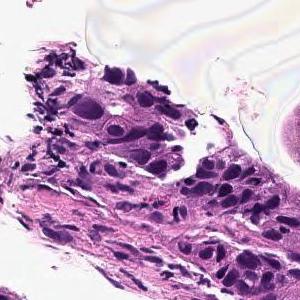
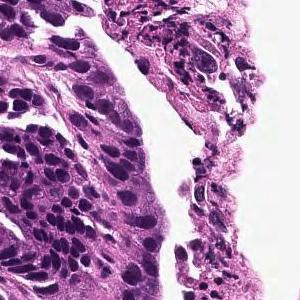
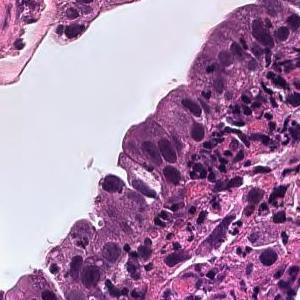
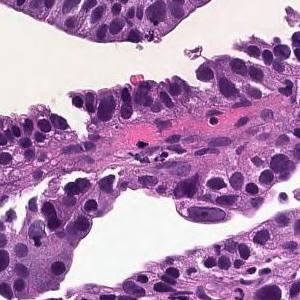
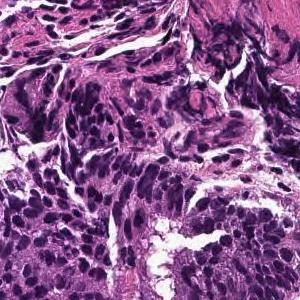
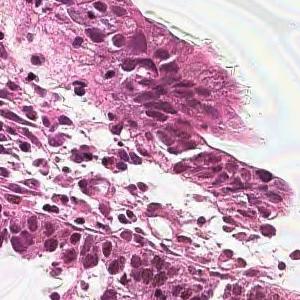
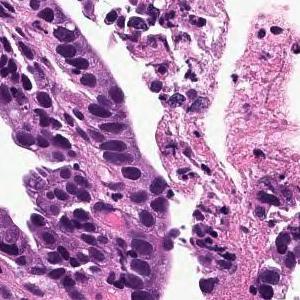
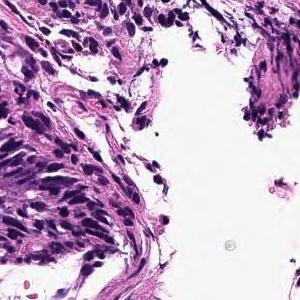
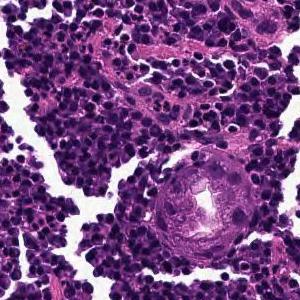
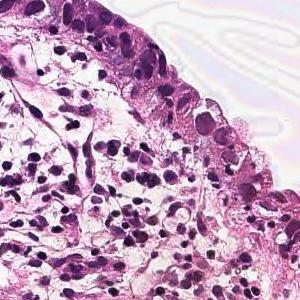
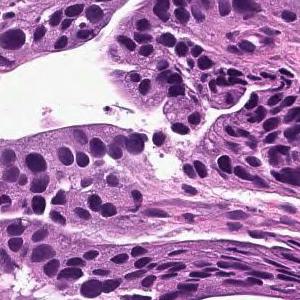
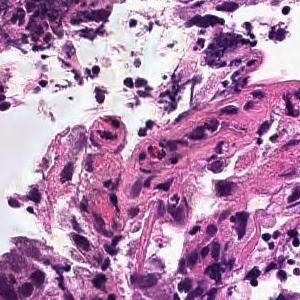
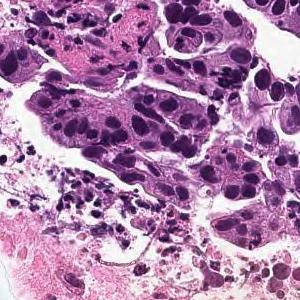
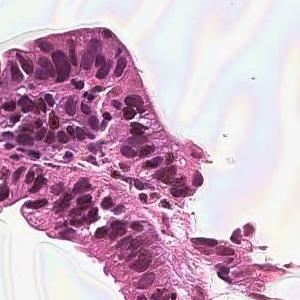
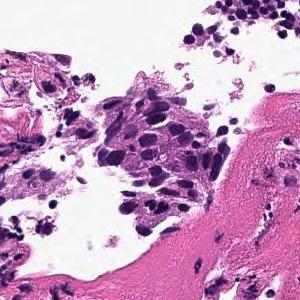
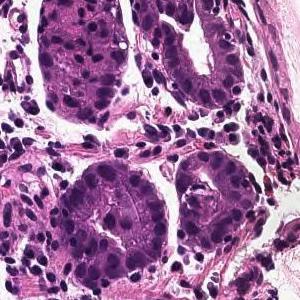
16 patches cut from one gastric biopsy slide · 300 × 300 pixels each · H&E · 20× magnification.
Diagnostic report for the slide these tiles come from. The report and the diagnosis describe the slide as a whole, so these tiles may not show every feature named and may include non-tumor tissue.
On the superficial epithelium, tumor tissue that infiltrates by forming medium-sized papillary or small irregular ducts is observed. Papillary adenocarcinoma
